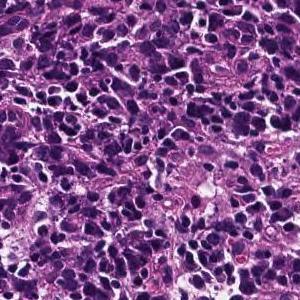
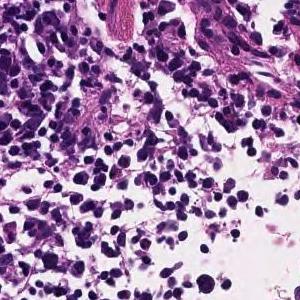
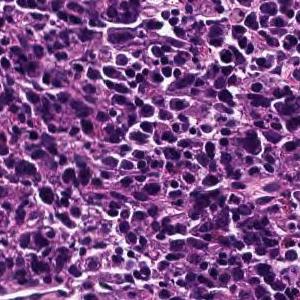
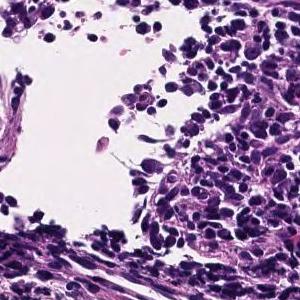
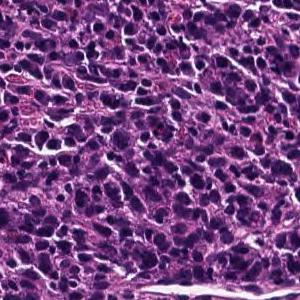
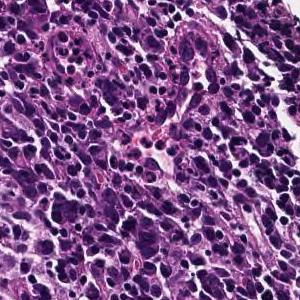
6 patches cut from one gastric biopsy slide, each 300 × 300 pixels, H&E.
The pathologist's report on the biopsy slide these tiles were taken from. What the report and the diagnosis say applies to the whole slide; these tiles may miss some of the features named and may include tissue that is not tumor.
Tumor tissue consisting of cord-like or small, irregular glandular ducts fused and infiltrated is observed in the superficial epithelium. Poorly differentiated adenocarcinoma, non-solid type
"Non-solid type" is a category of the Japanese Classification of Gastric Carcinoma.
